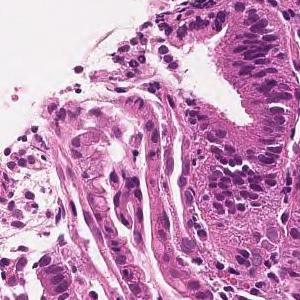
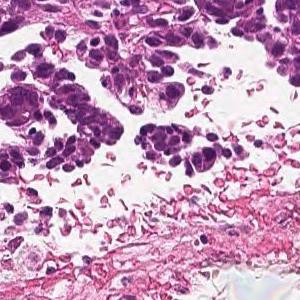
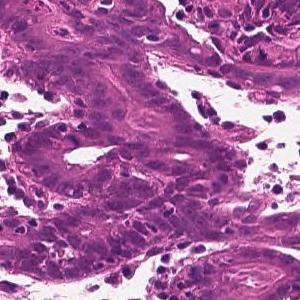
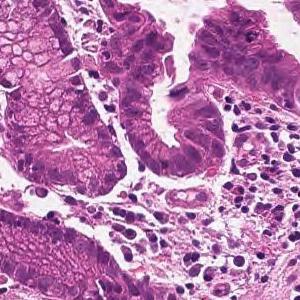
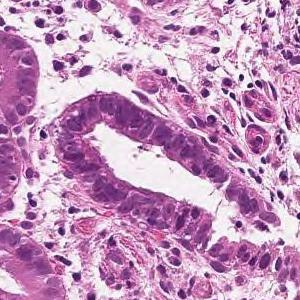
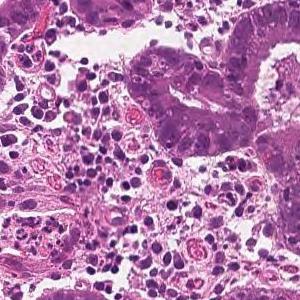
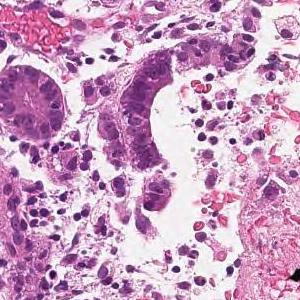
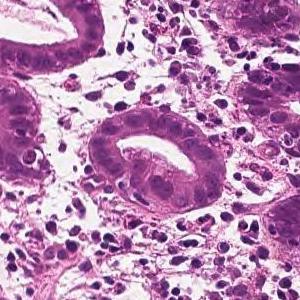
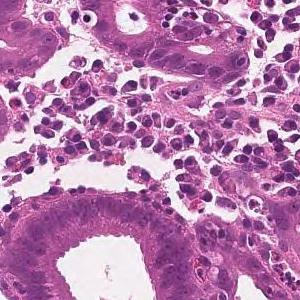
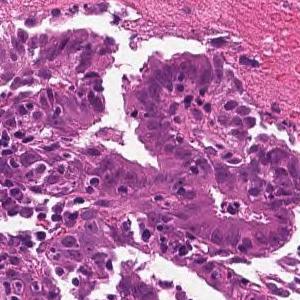
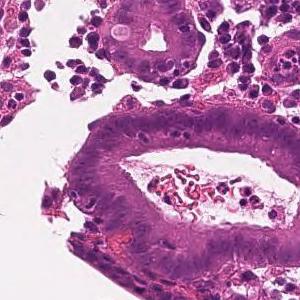
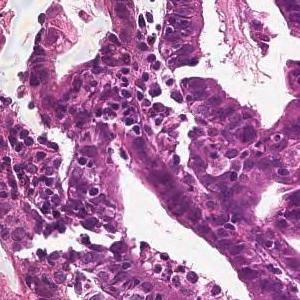
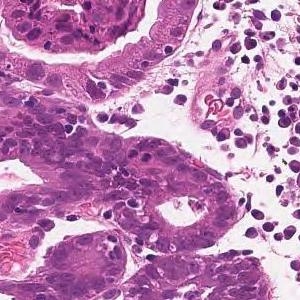
Hematoxylin and eosin stain; 13 tiles cut from one stomach biopsy slide; 300 × 300 pixels each.
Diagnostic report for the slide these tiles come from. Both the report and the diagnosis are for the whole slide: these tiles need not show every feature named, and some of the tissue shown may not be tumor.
On the superficial epithelium, tumor tissue is found in which medium-sized irregular gland ducts fuse with each other and infiltrate. moderately differentiated tubular adenocarcinoma
